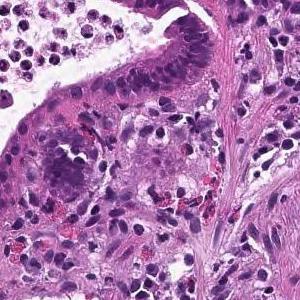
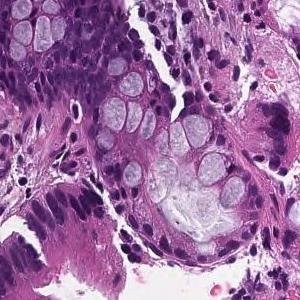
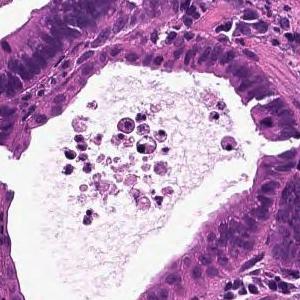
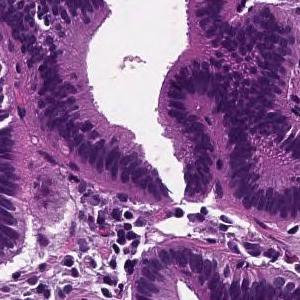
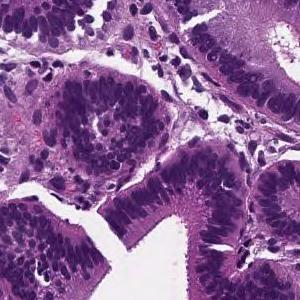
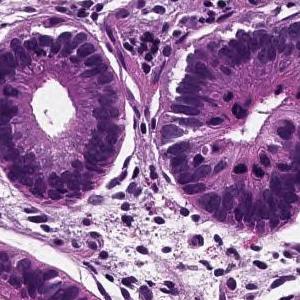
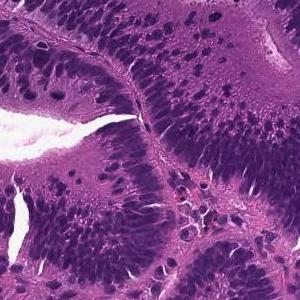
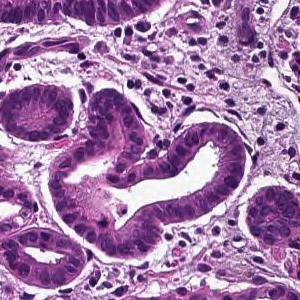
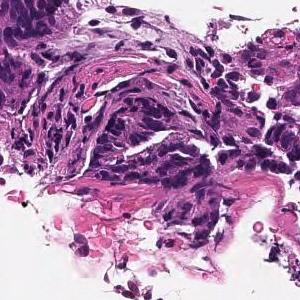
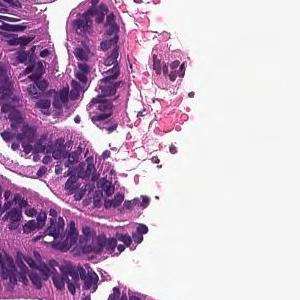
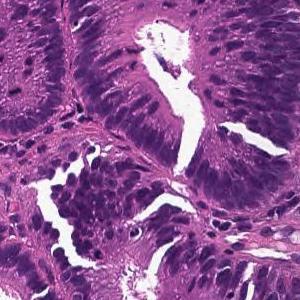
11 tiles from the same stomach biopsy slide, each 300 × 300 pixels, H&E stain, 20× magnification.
The pathologist's report on the biopsy slide these tiles were taken from. The report and the diagnosis cover the entire slide, so not every feature they name need be visible here, and some tissue shown may not be tumor.
From the superficial epithelium to the muscularis mucosae, tumor tissue consisting of medium-sized and irregular glandular ducts infiltrating is observed. Well differentiated tubular adenocarcinoma
